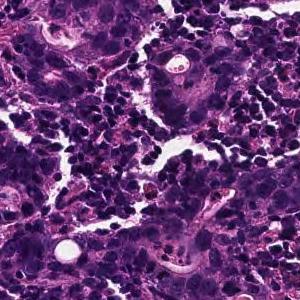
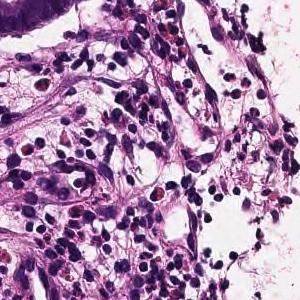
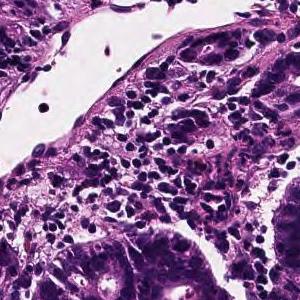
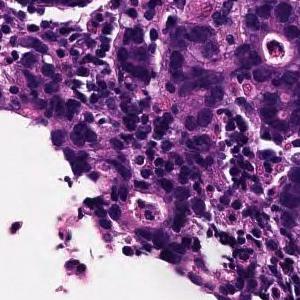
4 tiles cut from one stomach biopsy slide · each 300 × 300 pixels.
Pathology report for the slide these tiles were cut from. Both the report and the diagnosis are for the whole slide: these tiles need not show every feature named, and some of the tissue shown may not be tumor.
On the superficial epithelium, tumor tissue is found in which medium-sized irregular gland ducts fuse with each other and infiltrate. moderately differentiated tubular adenocarcinoma or Poorly differentiated adenocarcinoma, non-solid type
Subtype: Moderately to poorly differentiated adenocarcinoma.
The term "non-solid type" comes from the Japanese Classification of Gastric Carcinoma.
